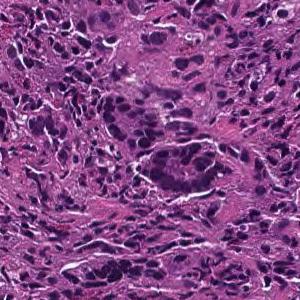
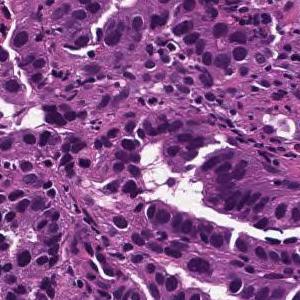
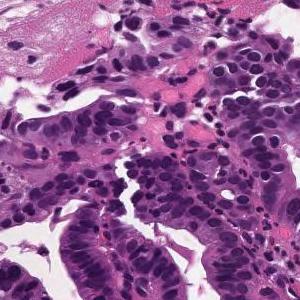
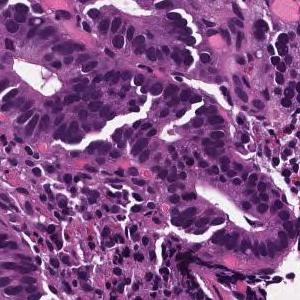
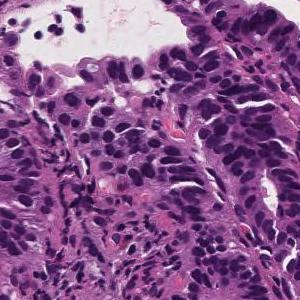
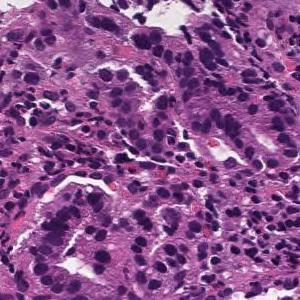
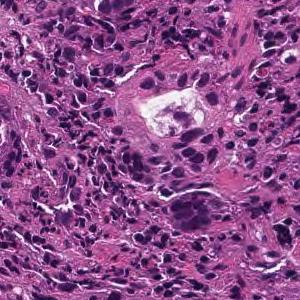
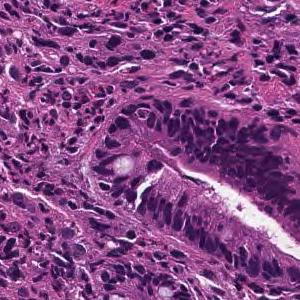
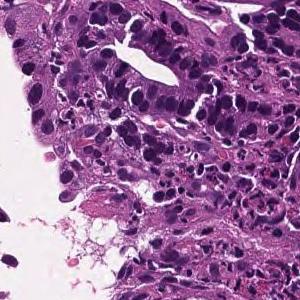
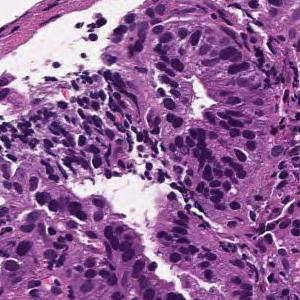
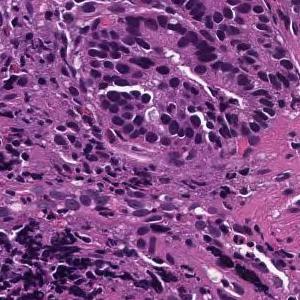
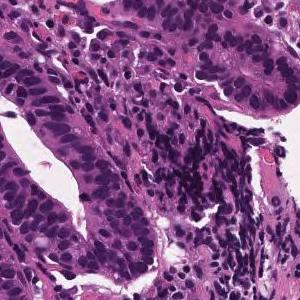
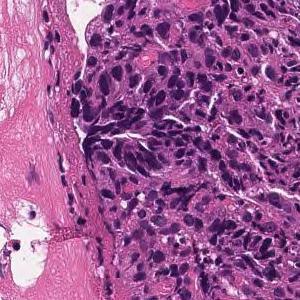
13 patches cut from one gastric biopsy slide; each 300 × 300 pixels; scanned at ×20.
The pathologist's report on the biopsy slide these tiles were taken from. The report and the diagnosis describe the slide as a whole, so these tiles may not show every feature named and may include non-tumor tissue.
Tumor cells are large, highly columnar, large club-shaped nuclei, and are associated with chromatin aggregation. Papillary adenocarcinoma.
